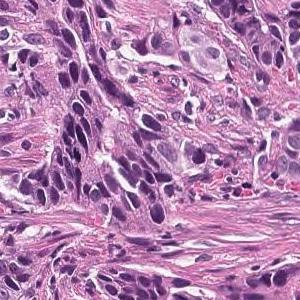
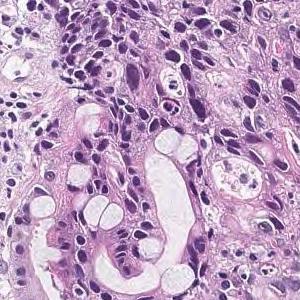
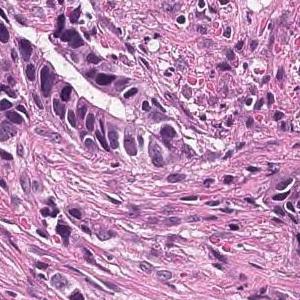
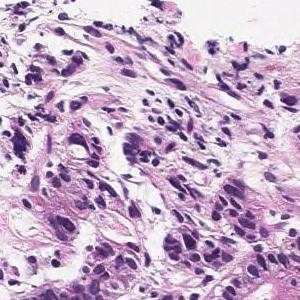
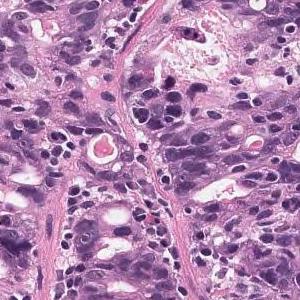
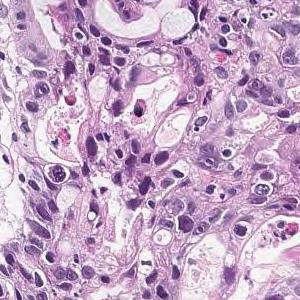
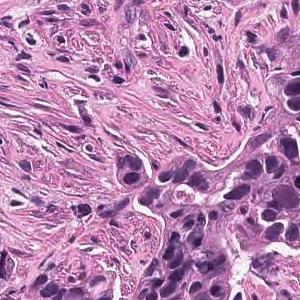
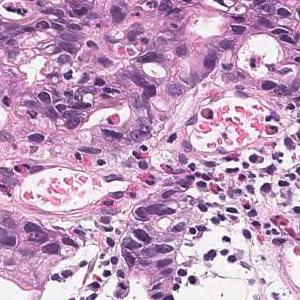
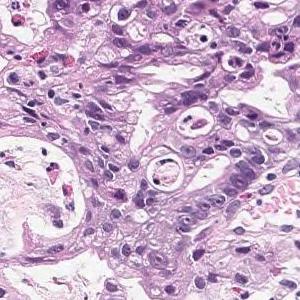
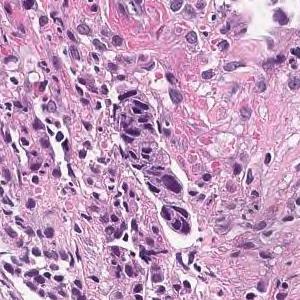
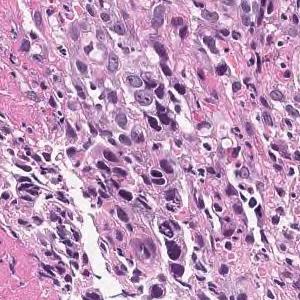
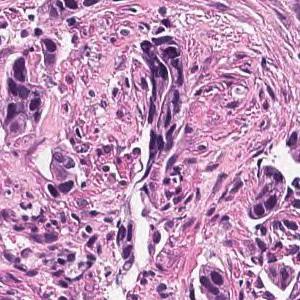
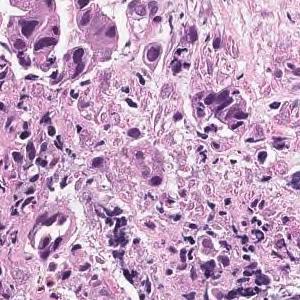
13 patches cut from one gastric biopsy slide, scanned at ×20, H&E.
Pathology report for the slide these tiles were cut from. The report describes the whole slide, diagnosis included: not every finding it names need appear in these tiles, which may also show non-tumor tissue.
Tumor cells are large, highly columnar, large club-shaped nuclei, and are associated with chromatin aggregation. Papillary adenocarcinoma.
